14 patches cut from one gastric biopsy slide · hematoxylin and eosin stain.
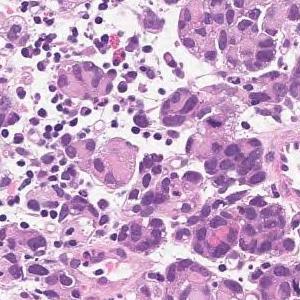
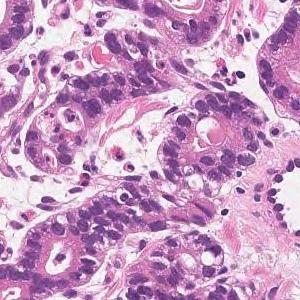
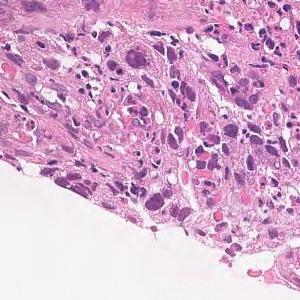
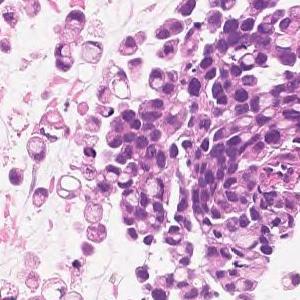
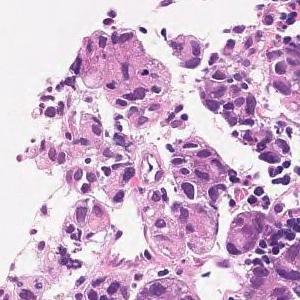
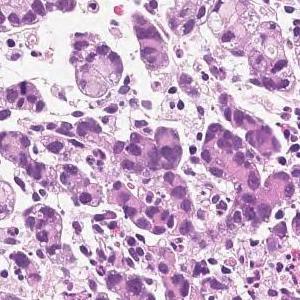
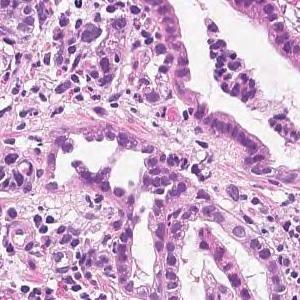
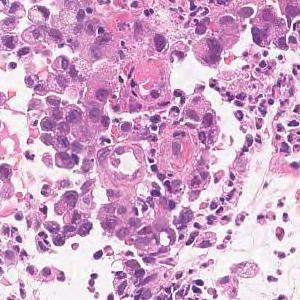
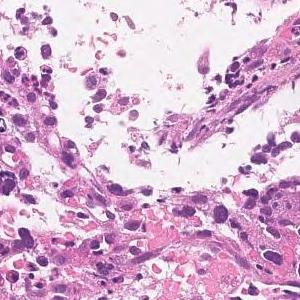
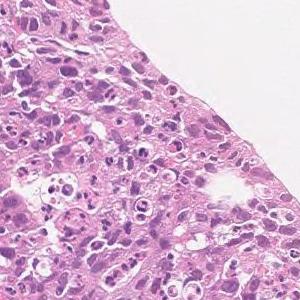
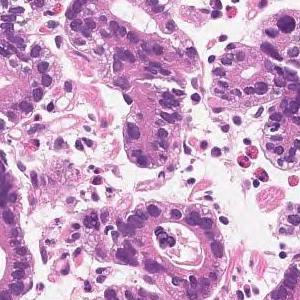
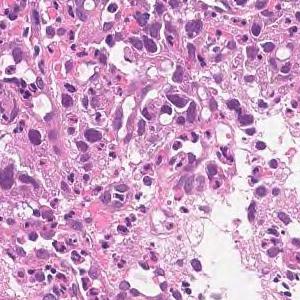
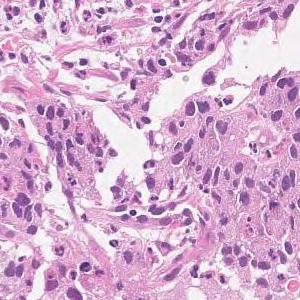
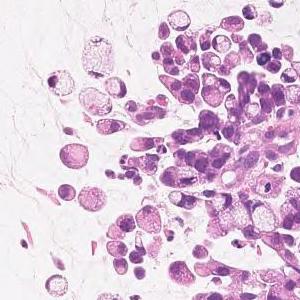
The pathologist's report on the biopsy slide these tiles were taken from. The report and the diagnosis describe the slide as a whole, so these tiles may not show every feature named and may include non-tumor tissue.
Medium to small, irregular glandular ducts are formed in the superficial epithelium, and in some cases, the glandular ducts are fused to show solid alveolar lesions and infiltrating tumor tissue is observed. Moderately to poorly differentiated adenocarcinoma.
